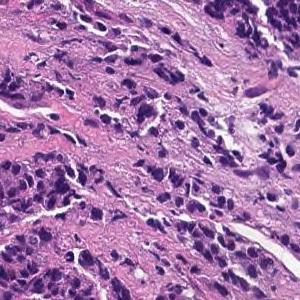
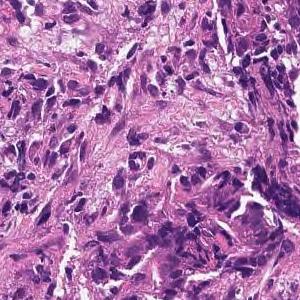
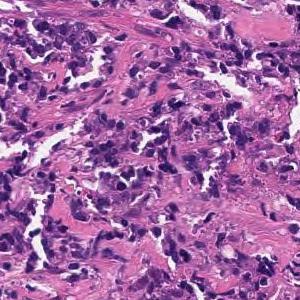
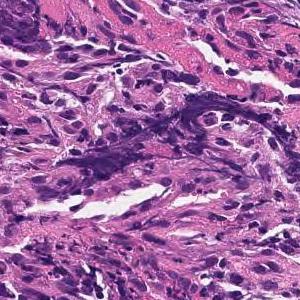
Hematoxylin and eosin stain · ×20 · 4 tiles cut from one stomach biopsy slide · 300 × 300 pixels each.
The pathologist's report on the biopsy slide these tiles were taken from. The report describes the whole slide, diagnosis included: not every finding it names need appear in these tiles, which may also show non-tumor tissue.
Tumor tissue consisting of medium-sized, cord-like or irregular glandular infiltration is observed in the superficial epithelium. Poorly differentiated adenocarcinoma, non-solid type or moderately differentiated tubular adenocarcinoma
Histologic type: Moderately to poorly differentiated adenocarcinoma.
"Non-solid type" is a category of the Japanese Classification of Gastric Carcinoma.
